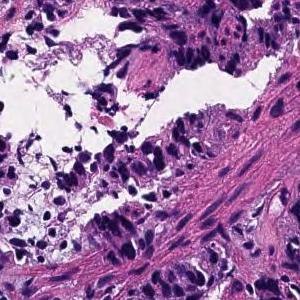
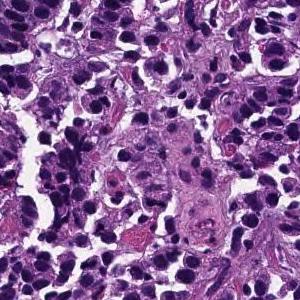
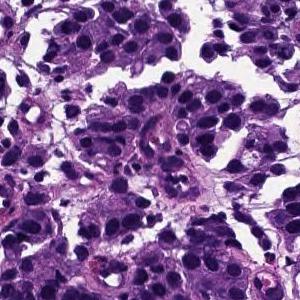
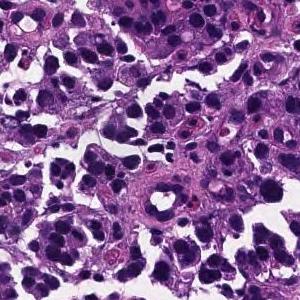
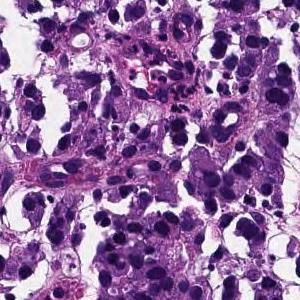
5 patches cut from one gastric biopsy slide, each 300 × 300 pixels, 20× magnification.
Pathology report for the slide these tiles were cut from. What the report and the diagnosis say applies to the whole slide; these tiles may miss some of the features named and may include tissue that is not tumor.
The superficial epithelium shows a large alveolar shape and infiltrates tumor tissue. Poorly differentiated adenocarcinoma, solid-type
Histologic type: Poorly differentiated adenocarcinoma, solid type. This name comes from the Japanese Classification of Gastric Carcinoma; the WHO 2019 classification calls it tubular adenocarcinoma, poorly differentiated.
